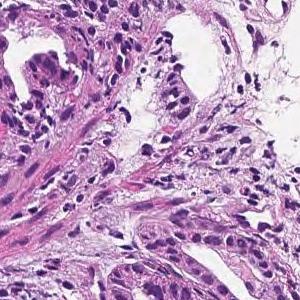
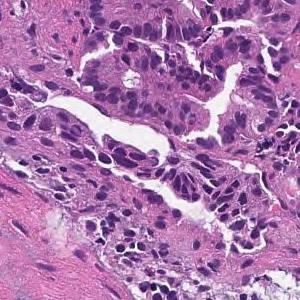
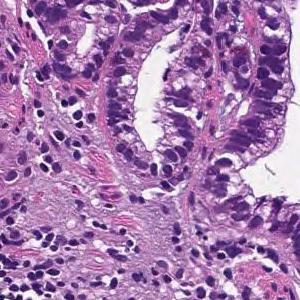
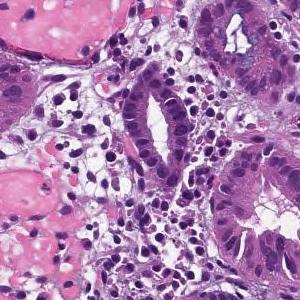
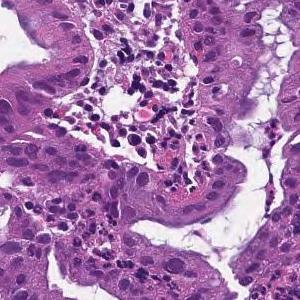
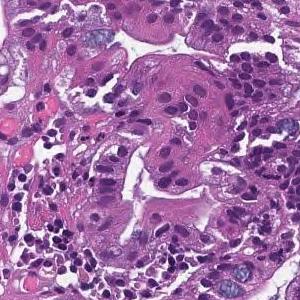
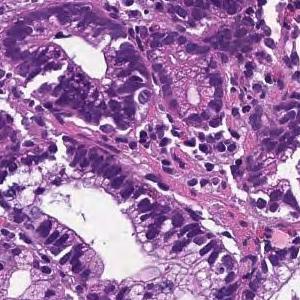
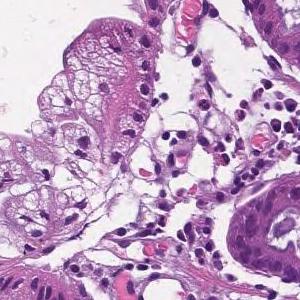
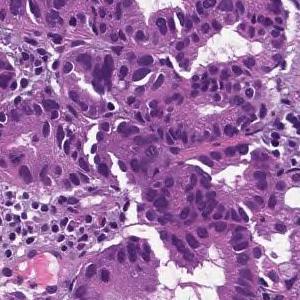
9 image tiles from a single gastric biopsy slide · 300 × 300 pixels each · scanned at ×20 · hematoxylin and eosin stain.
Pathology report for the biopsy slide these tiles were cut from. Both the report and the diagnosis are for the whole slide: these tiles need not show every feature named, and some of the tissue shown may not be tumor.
From the superficial epithelium to the muscularis mucosae, tumor tissue consisting of medium-sized and irregular glandular ducts infiltrating is observed. Well differentiated tubular adenocarcinoma
